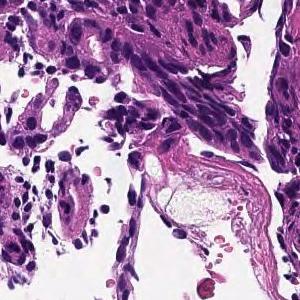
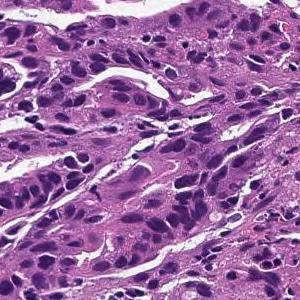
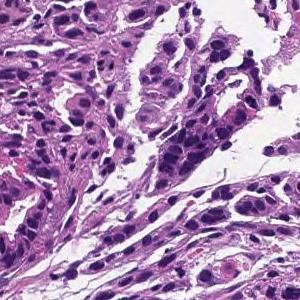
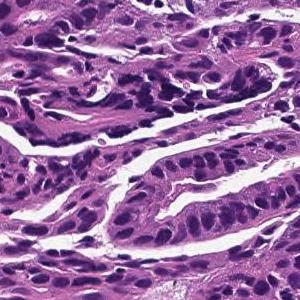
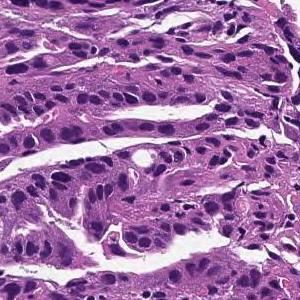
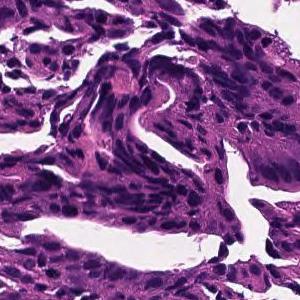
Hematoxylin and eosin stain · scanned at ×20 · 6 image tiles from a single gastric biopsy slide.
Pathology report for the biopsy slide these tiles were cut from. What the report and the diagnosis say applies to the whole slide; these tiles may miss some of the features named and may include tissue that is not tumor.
In the superficial epithelium, tumor tissue that invades by forming medium-sized to small, irregular ducts is observed. moderately differentiated tubular adenocarcinoma.
